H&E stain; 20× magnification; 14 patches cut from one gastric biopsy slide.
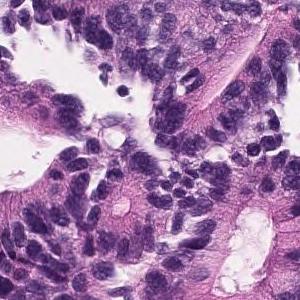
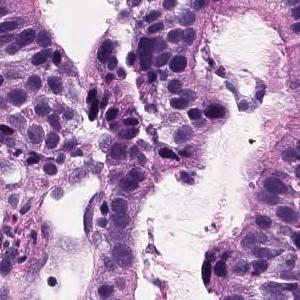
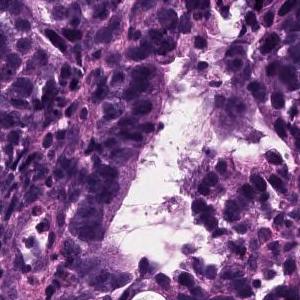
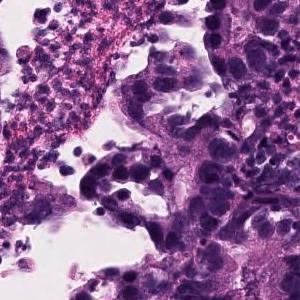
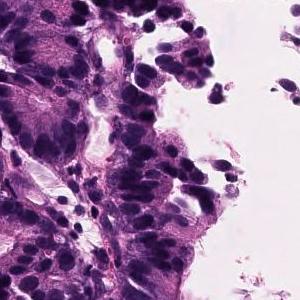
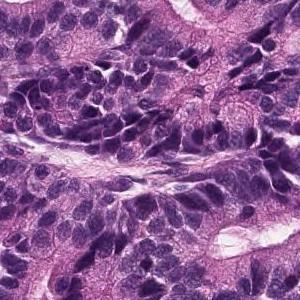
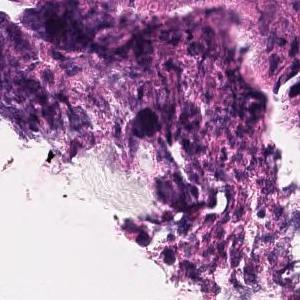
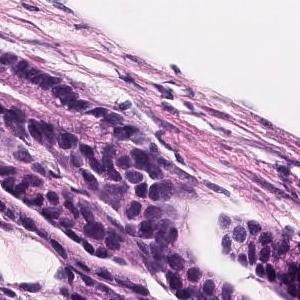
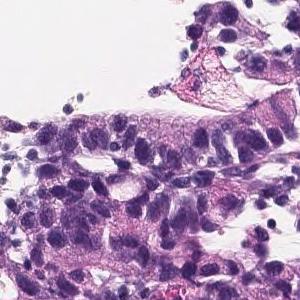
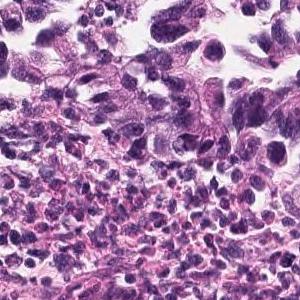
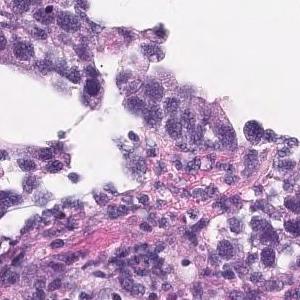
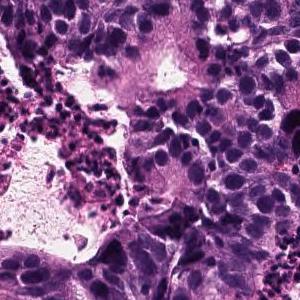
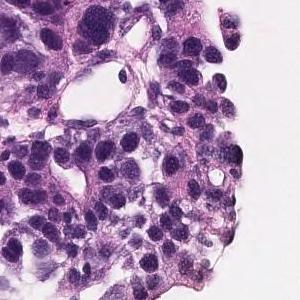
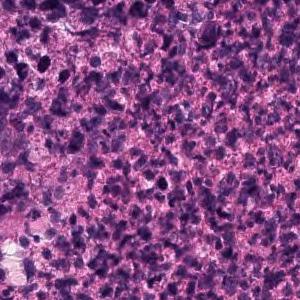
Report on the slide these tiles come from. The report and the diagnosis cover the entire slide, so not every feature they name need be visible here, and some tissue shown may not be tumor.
In the superficial epithelium, tumor tissue that invades by forming medium-sized to small, irregular ducts is observed. moderately differentiated tubular adenocarcinoma.
